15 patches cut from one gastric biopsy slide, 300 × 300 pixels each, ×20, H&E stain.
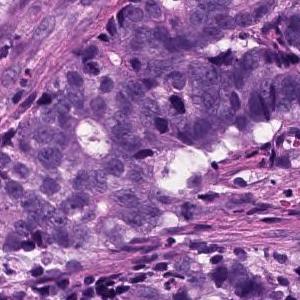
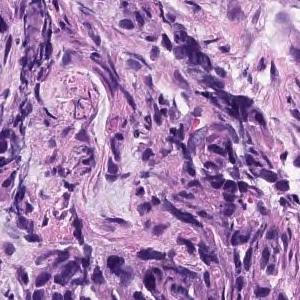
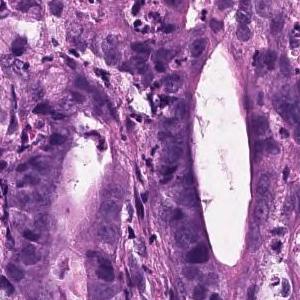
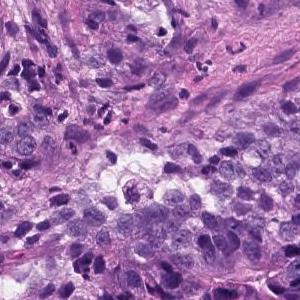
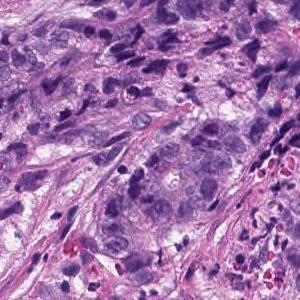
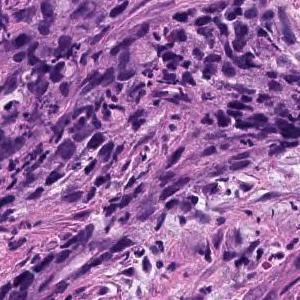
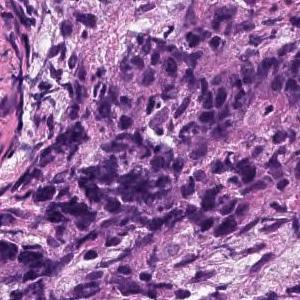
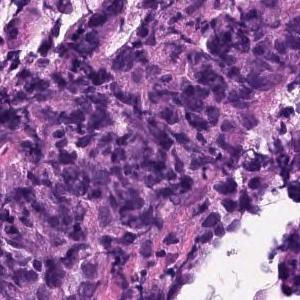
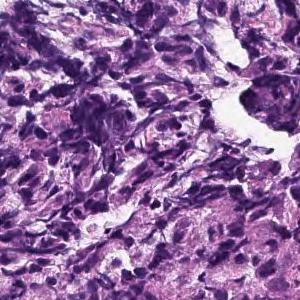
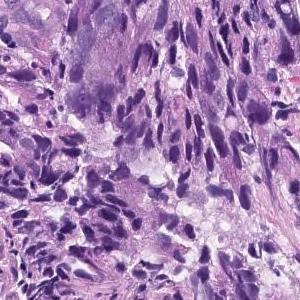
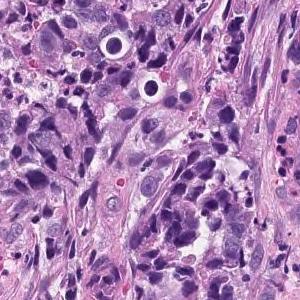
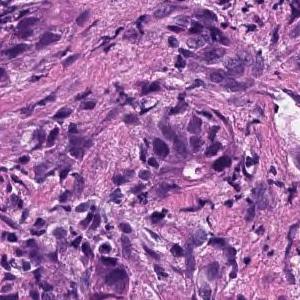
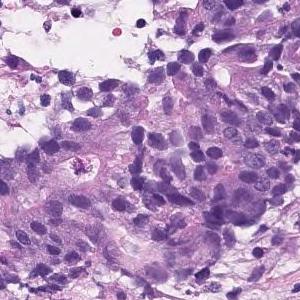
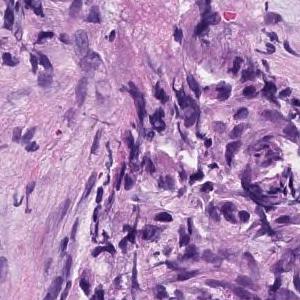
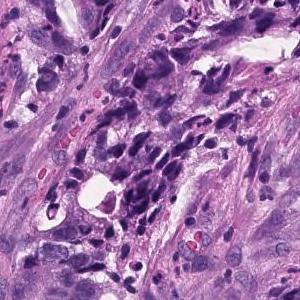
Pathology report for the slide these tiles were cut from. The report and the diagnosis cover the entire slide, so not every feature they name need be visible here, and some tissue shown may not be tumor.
Medium to small, irregular glandular ducts are formed in the superficial epithelium, and in some cases, the glandular ducts are fused to show solid alveolar lesions and infiltrating tumor tissue is observed. Moderately to poorly differentiated adenocarcinoma.
